×20 · 4 patches cut from one gastric biopsy slide.
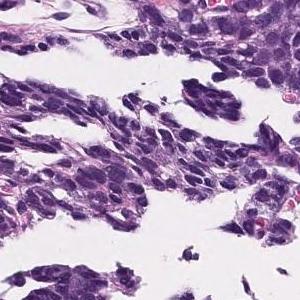
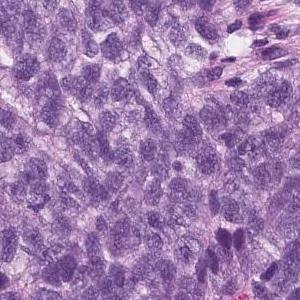
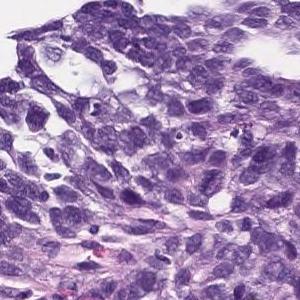
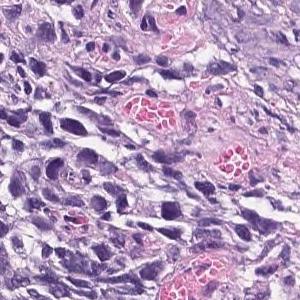
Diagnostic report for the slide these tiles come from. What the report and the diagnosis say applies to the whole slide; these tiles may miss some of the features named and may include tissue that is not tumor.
Epithelial cells with swollen nuclei with atypia invasively proliferating while forming vesicles is observed. Poorly differentiated adenocarcinoma
Subtype: Poorly differentiated adenocarcinoma, solid type (Japanese Classification of Gastric Carcinoma). The WHO 2019 equivalent is tubular adenocarcinoma, poorly differentiated.
